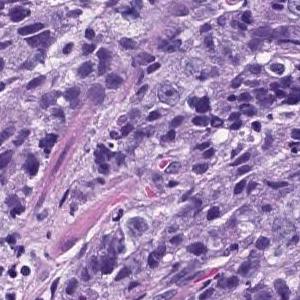
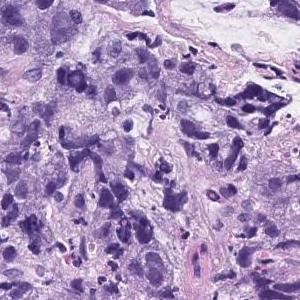
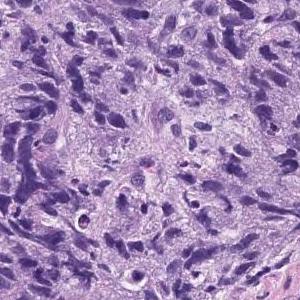
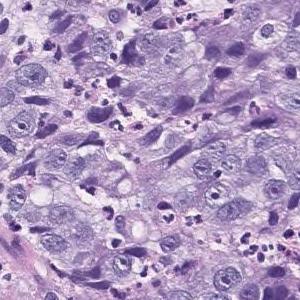
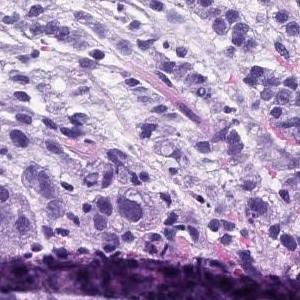
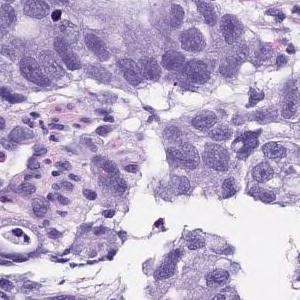
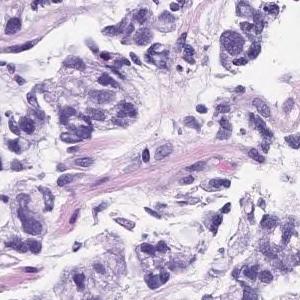
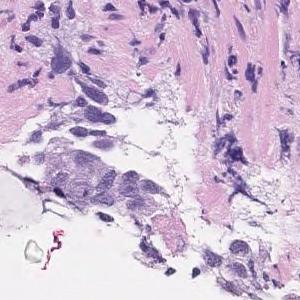
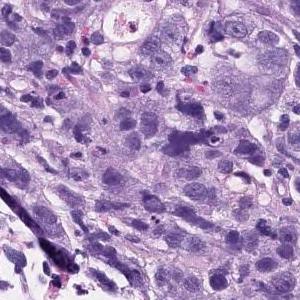
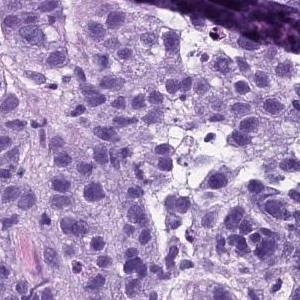
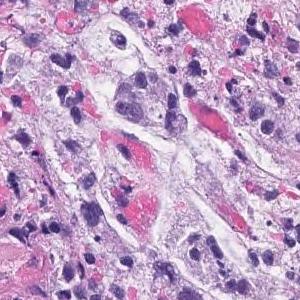
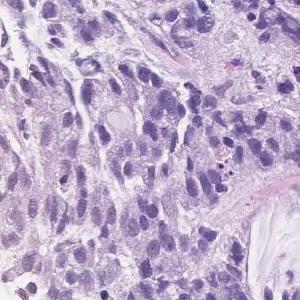
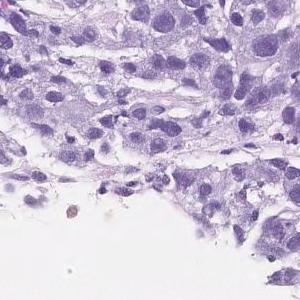
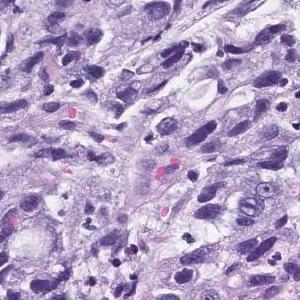
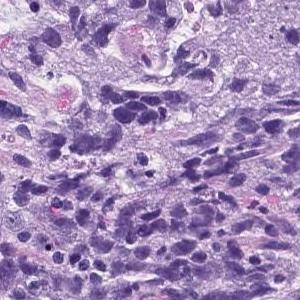
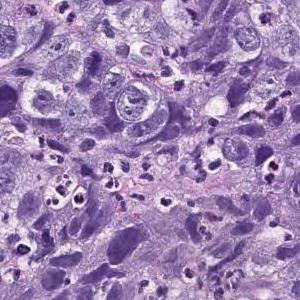
×20, 16 tiles cut from one stomach biopsy slide.
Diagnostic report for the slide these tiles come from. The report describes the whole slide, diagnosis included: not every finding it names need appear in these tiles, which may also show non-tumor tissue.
Atypical l cells with atypical nuclei forming solid vesicles or small irregular atypical ducts that proliferate in a complex manner. poorly differentiated adenocarcinoma, solid type, moderately differentiated tubular adenocarcinoma
"Solid type" is a category of the Japanese Classification of Gastric Carcinoma; in the WHO 2019 classification it is tubular adenocarcinoma, poorly differentiated.
